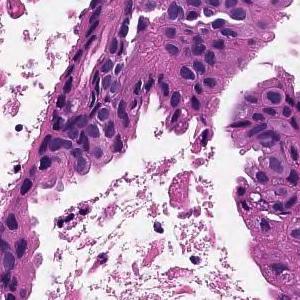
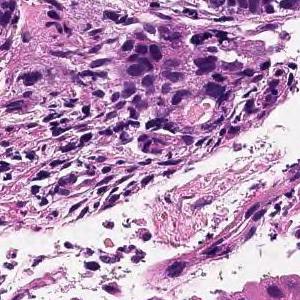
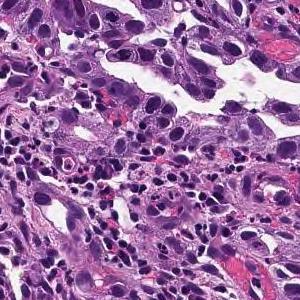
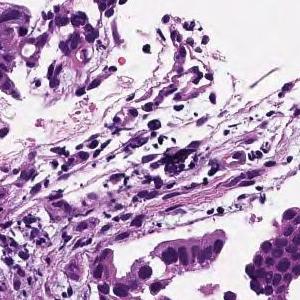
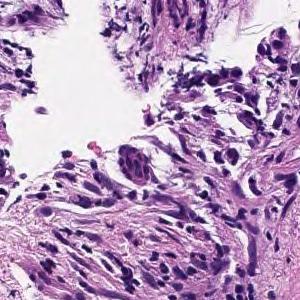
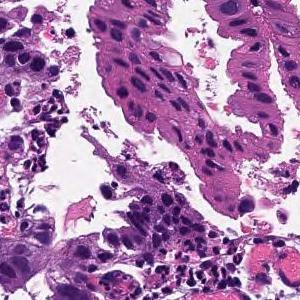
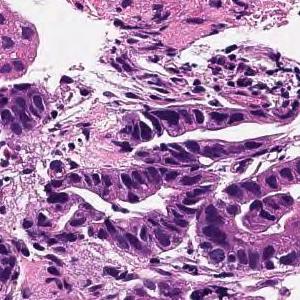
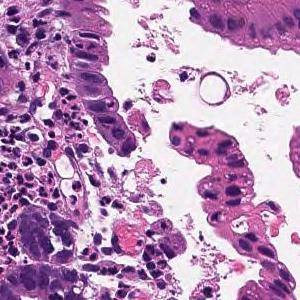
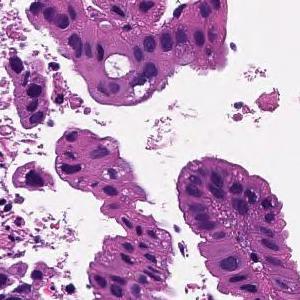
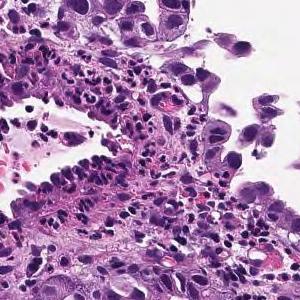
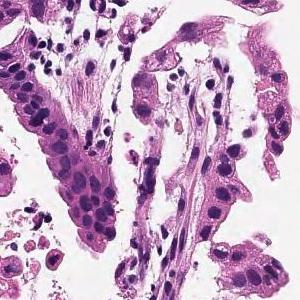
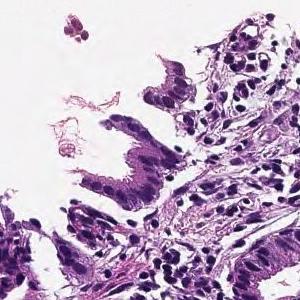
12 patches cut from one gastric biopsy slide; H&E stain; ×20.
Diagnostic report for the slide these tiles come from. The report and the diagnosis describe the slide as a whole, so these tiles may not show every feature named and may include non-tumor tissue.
In the superficial epithelium, tumor tissue that invades by forming medium-sized to small, irregular ducts is observed. moderately differentiated tubular adenocarcinoma.
